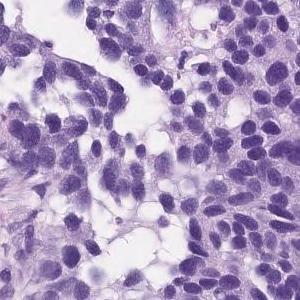
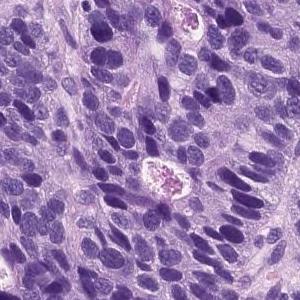
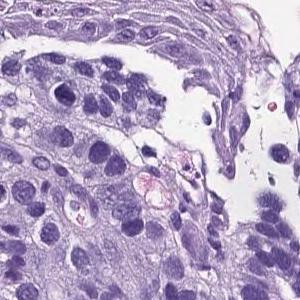
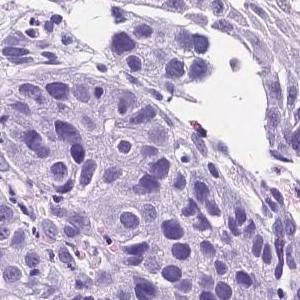
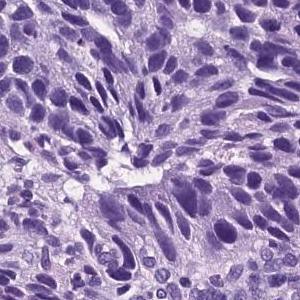
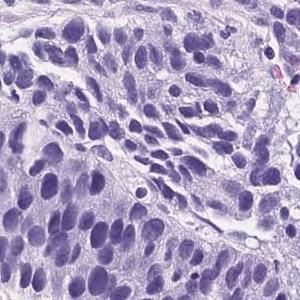
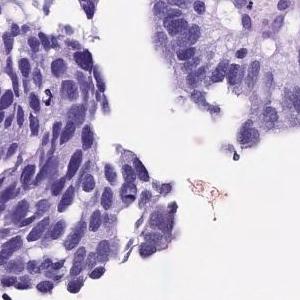
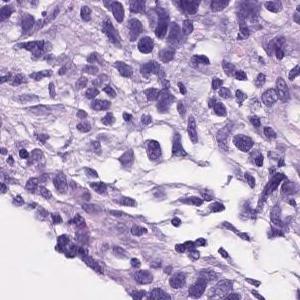
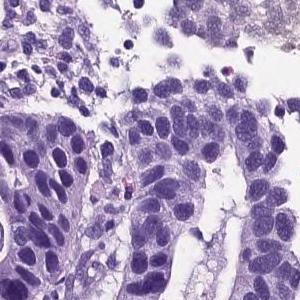
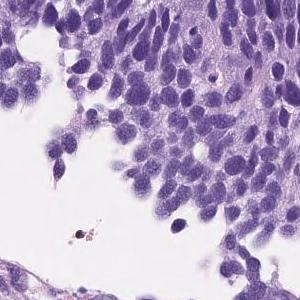
10 tiles from the same stomach biopsy slide; 300×300 px each; scanned at ×20.
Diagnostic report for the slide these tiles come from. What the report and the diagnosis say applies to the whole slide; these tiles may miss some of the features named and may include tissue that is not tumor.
Atypical cells with atypical nuclei forming small irregular atypical ducts and growing in a conformative manner. moderately differentiated tubular adenocarcinoma
Dataset label: moderately to poorly differentiated adenocarcinoma.
